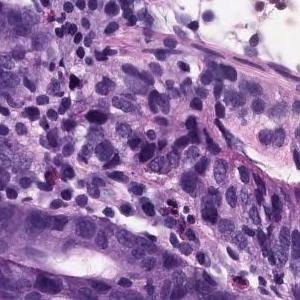
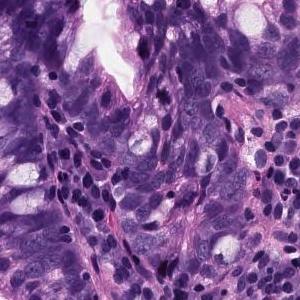
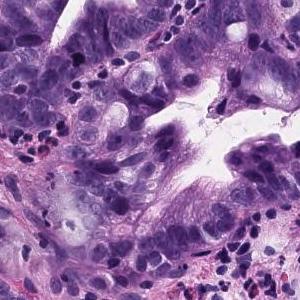
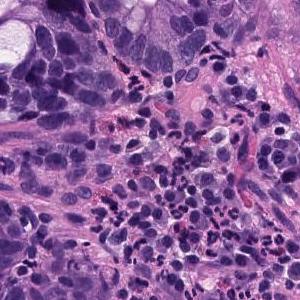
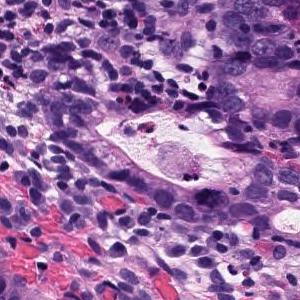
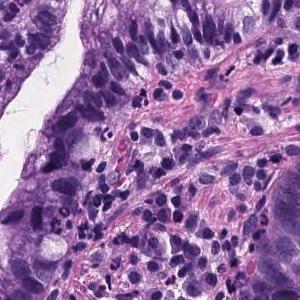
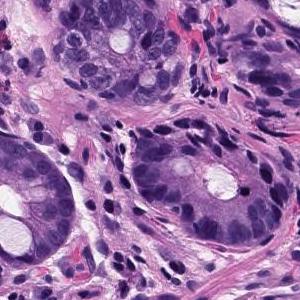
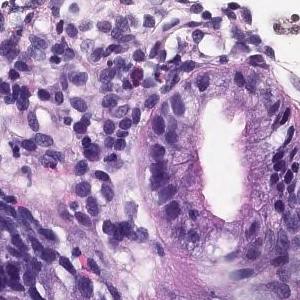
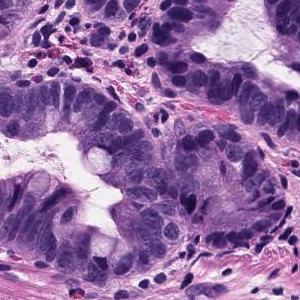
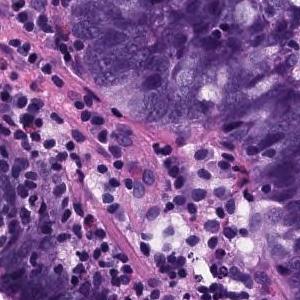
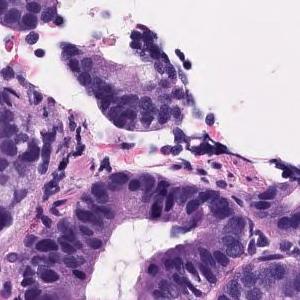
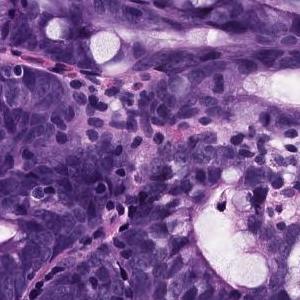
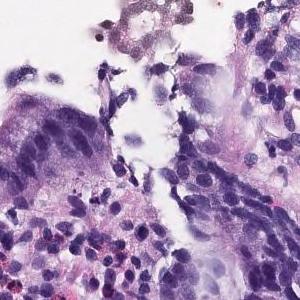
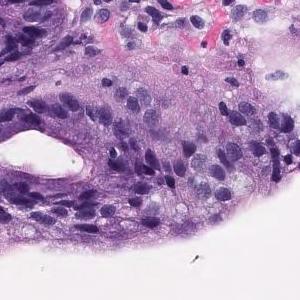
14 tiles from the same stomach biopsy slide; each 300 × 300 pixels; ×20.
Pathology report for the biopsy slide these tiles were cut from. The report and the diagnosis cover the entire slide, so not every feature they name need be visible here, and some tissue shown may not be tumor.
Tumor cells with strong nuclear atypia proliferate invasively, forming small to medium-sized irregular shaped ducts. moderately differentiated tubular adenocarcinoma
